10 tiles cut from one stomach biopsy slide; 300 × 300 pixels each; hematoxylin and eosin stain; ×20.
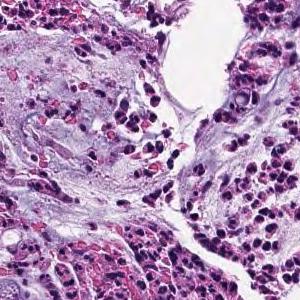
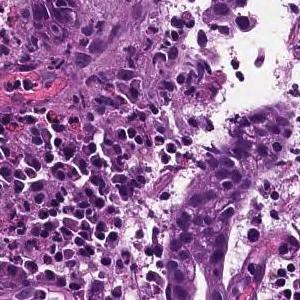
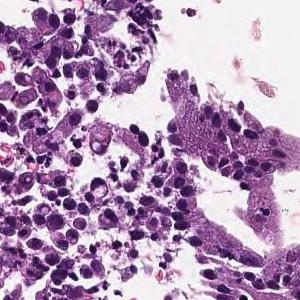
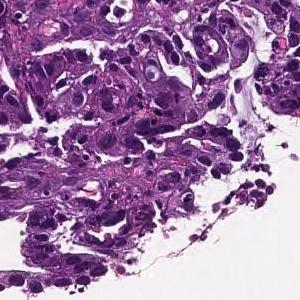
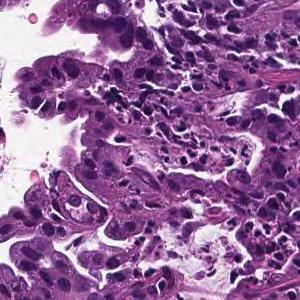
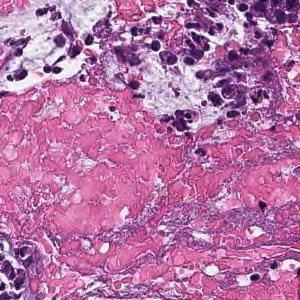
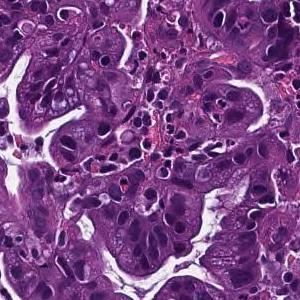
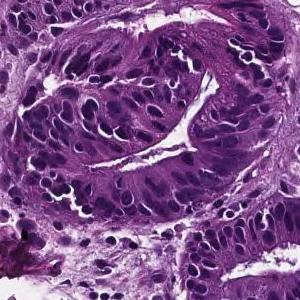
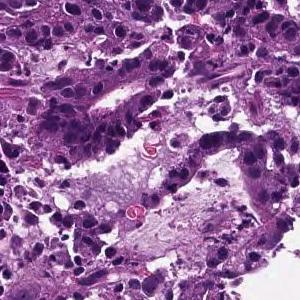
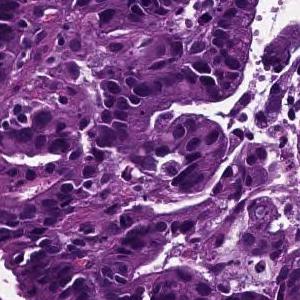
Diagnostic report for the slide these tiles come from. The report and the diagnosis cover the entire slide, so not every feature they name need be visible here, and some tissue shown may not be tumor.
On the superficial epithelium, tumor tissue consisting of large irregular glandular ducts partially fused and infiltrated is observed. Well to moderately differentiated tubular adenocarcinoma (well differentiated tubular adenocarcinoma, moderately differentiated tubular adenocarcinoma)
Histologic type: Well to moderately differentiated tubular adenocarcinoma.
